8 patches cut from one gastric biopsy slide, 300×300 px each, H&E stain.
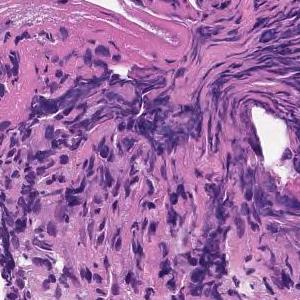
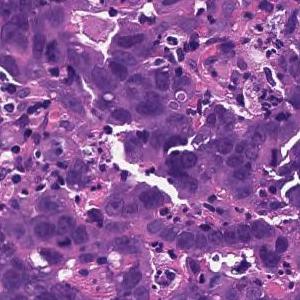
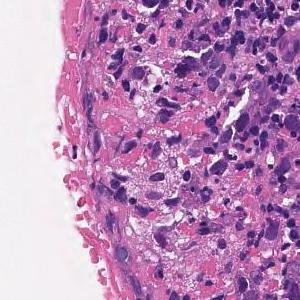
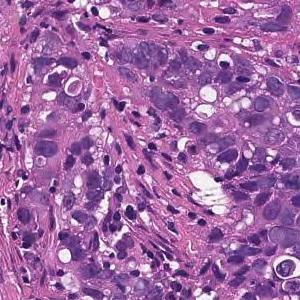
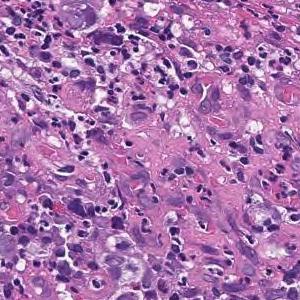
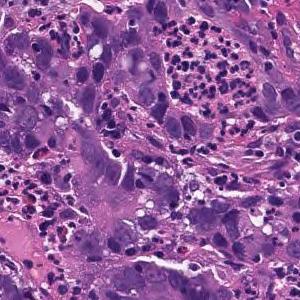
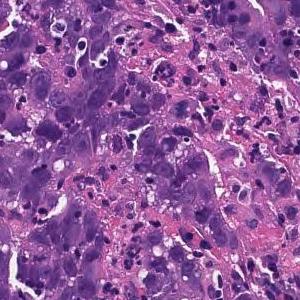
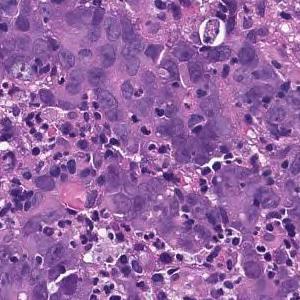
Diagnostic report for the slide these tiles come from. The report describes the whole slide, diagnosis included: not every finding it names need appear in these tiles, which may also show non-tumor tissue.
Tumor tissue consisting of cord-like or small, irregular glandular ducts fused and infiltrated is observed in the superficial epithelium. Poorly differentiated adenocarcinoma, non-solid type
The non-solid type named here is a Japanese Classification of Gastric Carcinoma category.
